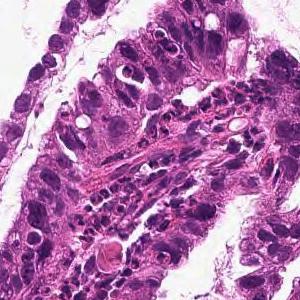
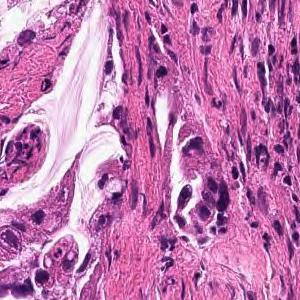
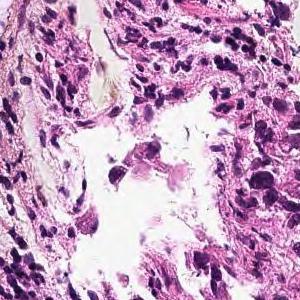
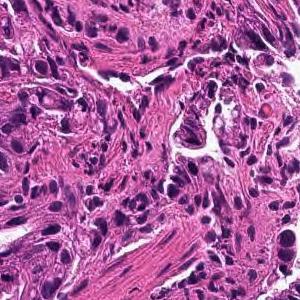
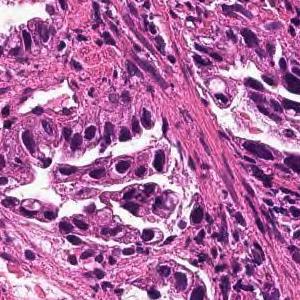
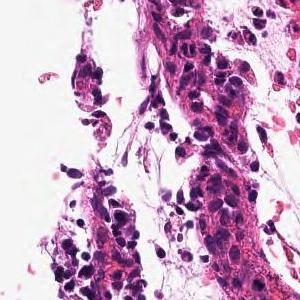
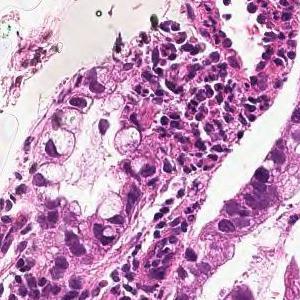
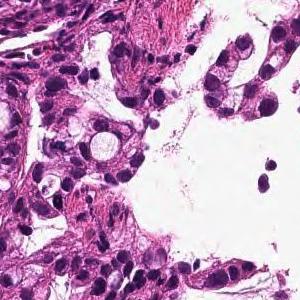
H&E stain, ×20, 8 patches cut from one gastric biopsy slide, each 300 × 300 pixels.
Diagnostic report for the slide these tiles come from. Both the report and the diagnosis are for the whole slide: these tiles need not show every feature named, and some of the tissue shown may not be tumor.
From the superficial epithelium to the muscularis mucosae, tumor tissue infiltrating by forming medium-sized irregular gland ducts is observed. Well differentiated tubular adenocarcinoma
